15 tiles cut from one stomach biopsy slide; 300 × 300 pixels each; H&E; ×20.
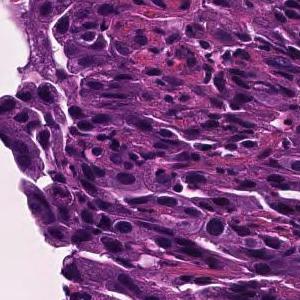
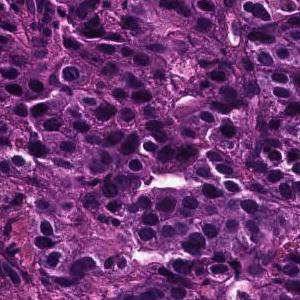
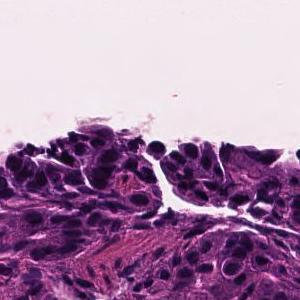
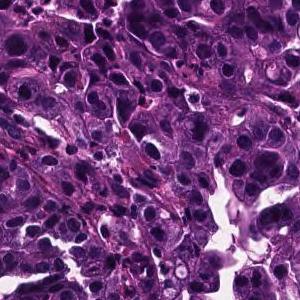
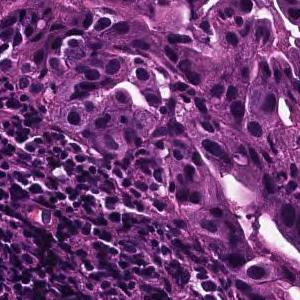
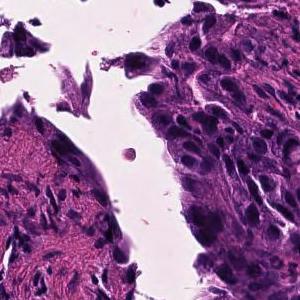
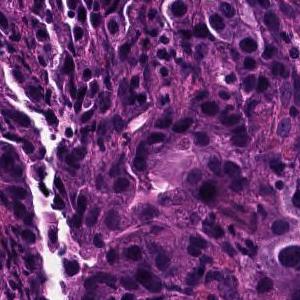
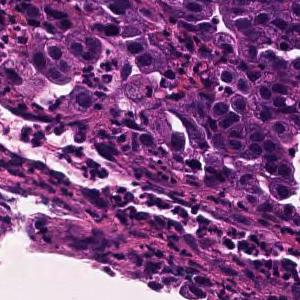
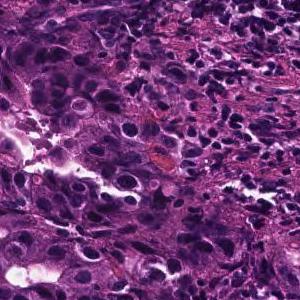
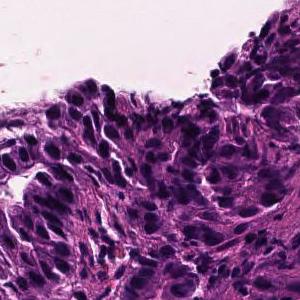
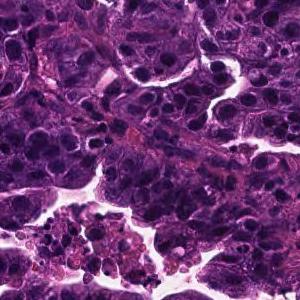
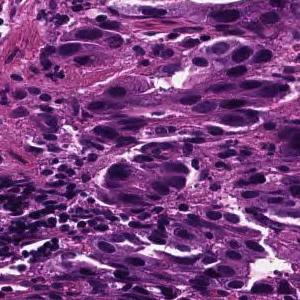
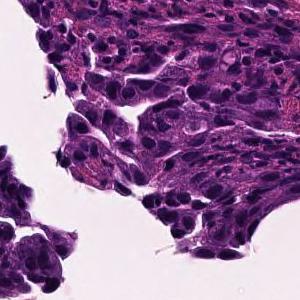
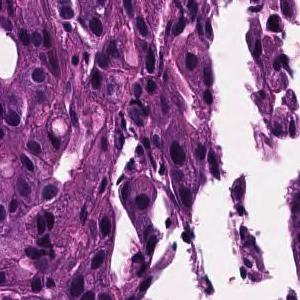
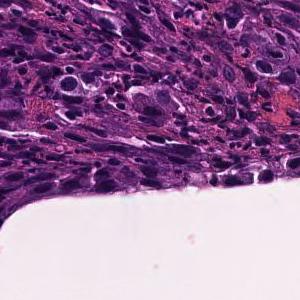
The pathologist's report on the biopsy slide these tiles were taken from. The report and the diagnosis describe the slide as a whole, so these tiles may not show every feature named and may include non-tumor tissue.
Tumor tissue consisting of medium-sized, cord-like or irregular glandular fusion and infiltration is observed in the superficial epithelium. Poorly differentiated adenocarcinoma, non-solid type or moderately differentiated tubular adenocarcinoma
Classified as moderately to poorly differentiated adenocarcinoma.
The term "non-solid type" comes from the Japanese Classification of Gastric Carcinoma.
